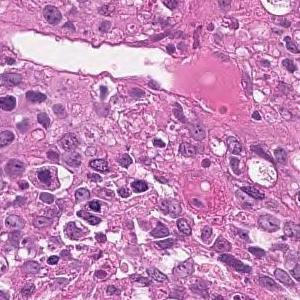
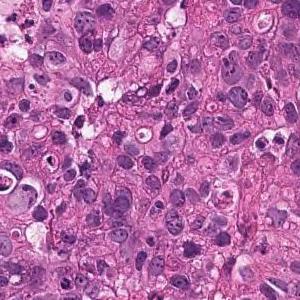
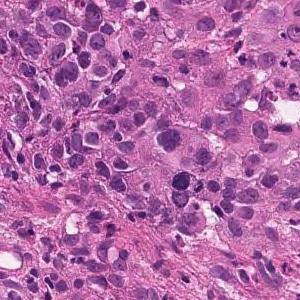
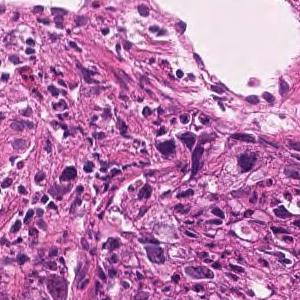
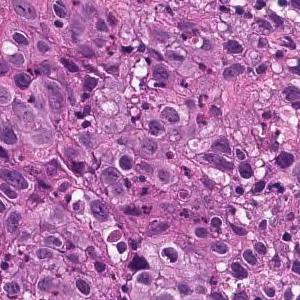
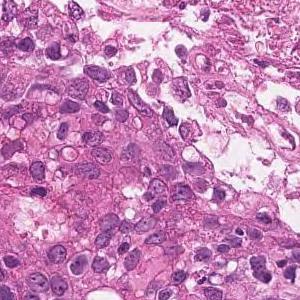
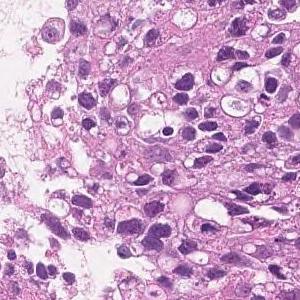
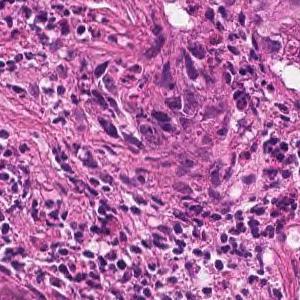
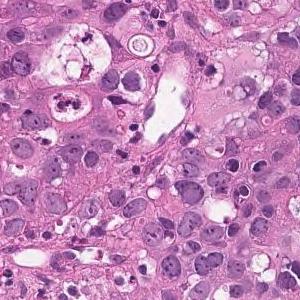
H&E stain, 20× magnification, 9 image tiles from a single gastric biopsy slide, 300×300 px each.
Pathology report for the biopsy slide these tiles were cut from. What the report and the diagnosis say applies to the whole slide; these tiles may miss some of the features named and may include tissue that is not tumor.
The superficial epithelium shows a large sheet-like shape, and some tumor tissue infiltrates with small irregular ducts. Poorly differentiated adenocarcinoma, solid-type
Histologic type: Poorly differentiated adenocarcinoma, solid type. This name comes from the Japanese Classification of Gastric Carcinoma; the WHO 2019 classification calls it tubular adenocarcinoma, poorly differentiated.
